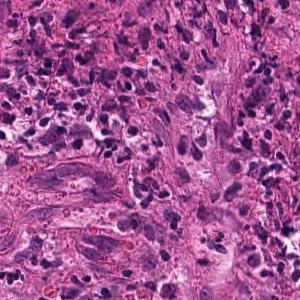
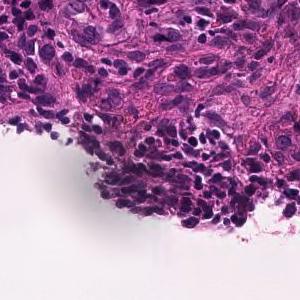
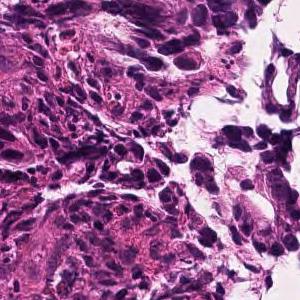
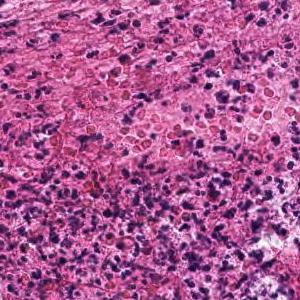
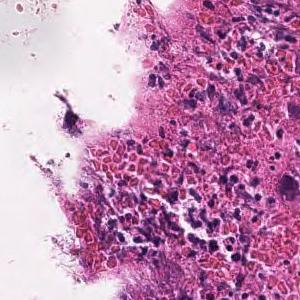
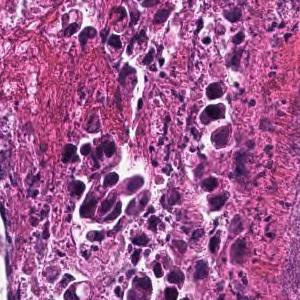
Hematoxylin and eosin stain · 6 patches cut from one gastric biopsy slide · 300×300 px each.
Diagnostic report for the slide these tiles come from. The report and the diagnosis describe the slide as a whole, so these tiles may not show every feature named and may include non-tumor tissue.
In the superficial epithelium, tumor tissue that invades by forming medium-sized to small, irregular ducts is observed. moderately differentiated tubular adenocarcinoma.
